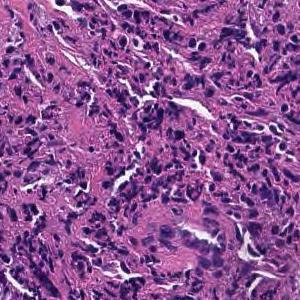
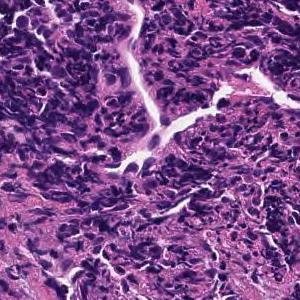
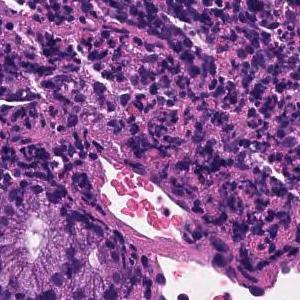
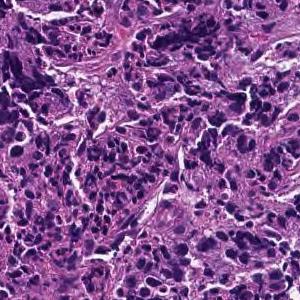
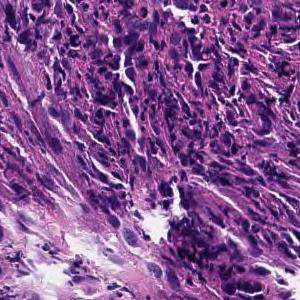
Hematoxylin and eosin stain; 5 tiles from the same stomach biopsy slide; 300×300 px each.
The pathologist's report on the biopsy slide these tiles were taken from. The report and the diagnosis cover the entire slide, so not every feature they name need be visible here, and some tissue shown may not be tumor.
Tumor tissue consisting of cord-like or small, irregular glandular ducts fused and infiltrated is observed in the superficial epithelium. Poorly differentiated adenocarcinoma, non-solid type
"Non-solid type" is a category of the Japanese Classification of Gastric Carcinoma.
